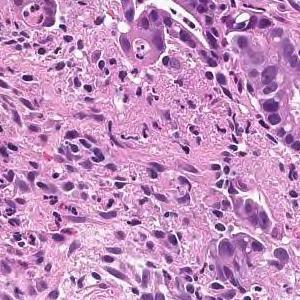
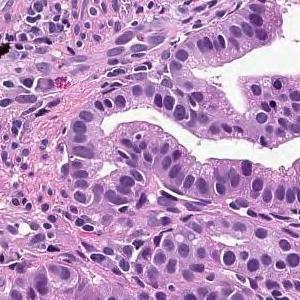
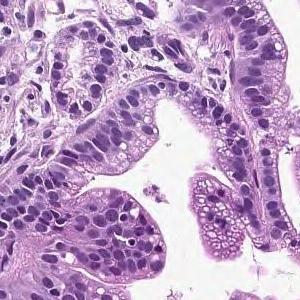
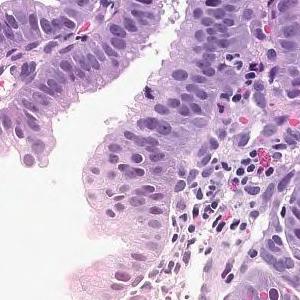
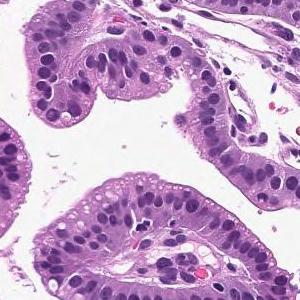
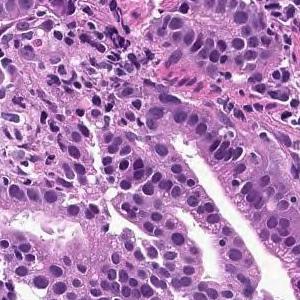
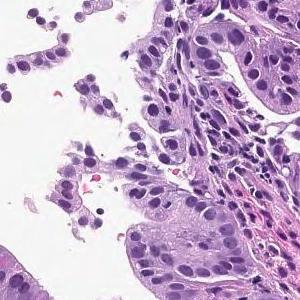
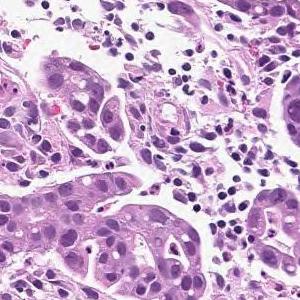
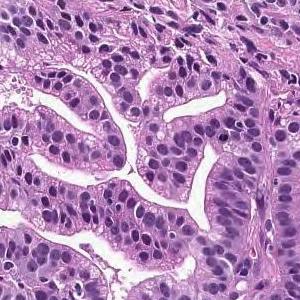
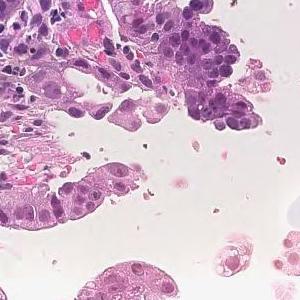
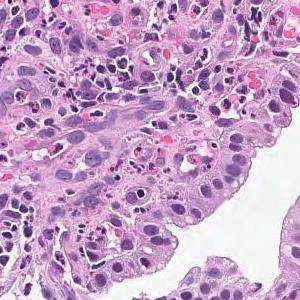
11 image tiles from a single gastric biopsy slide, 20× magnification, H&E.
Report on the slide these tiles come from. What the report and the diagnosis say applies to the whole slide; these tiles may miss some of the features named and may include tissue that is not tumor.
On the superficial epithelium, tumor tissue that infiltrates by forming medium-sized papillary or small irregular ducts is observed. Papillary adenocarcinoma
